6 tiles cut from one stomach biopsy slide; each 300 × 300 pixels; H&E.
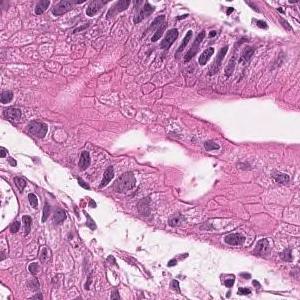
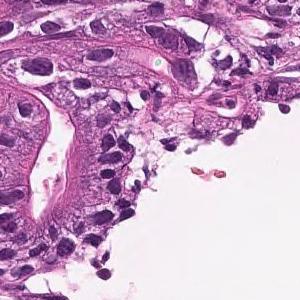
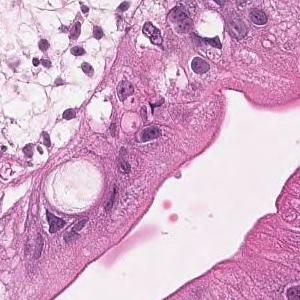
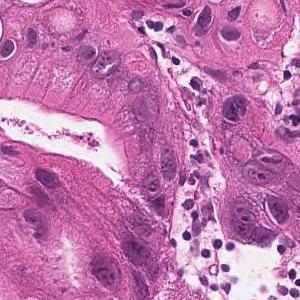
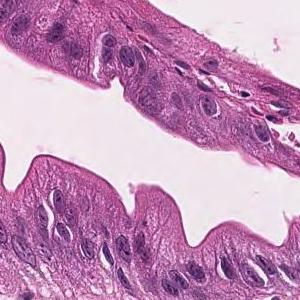
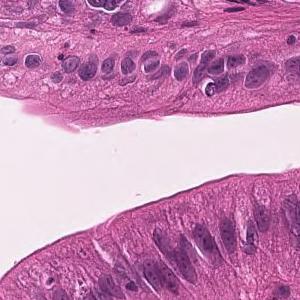
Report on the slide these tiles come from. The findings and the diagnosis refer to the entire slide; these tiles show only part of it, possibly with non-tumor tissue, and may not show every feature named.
On the superficial epithelium, tumor tissue that infiltrates by forming medium-sized papillary or small irregular ducts is observed. Papillary adenocarcinoma
